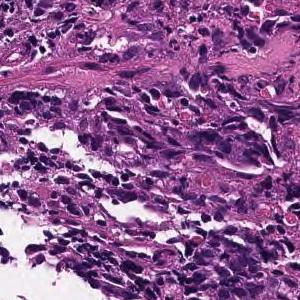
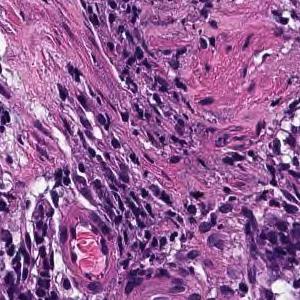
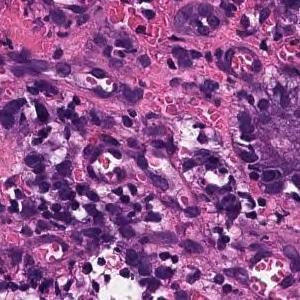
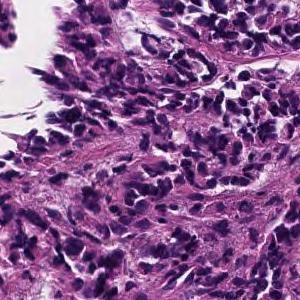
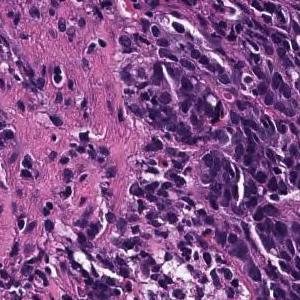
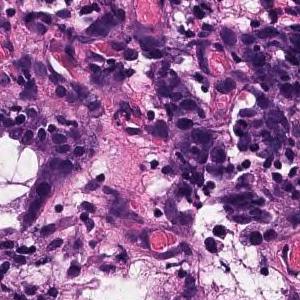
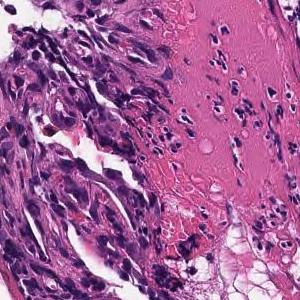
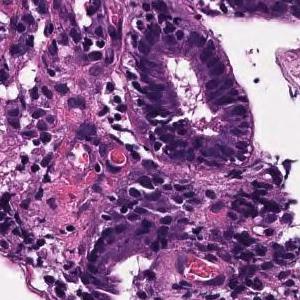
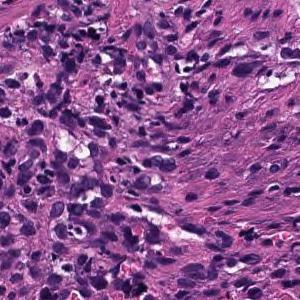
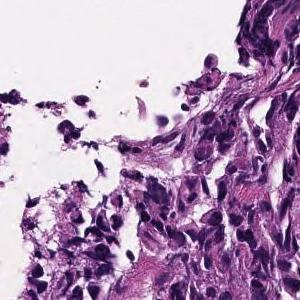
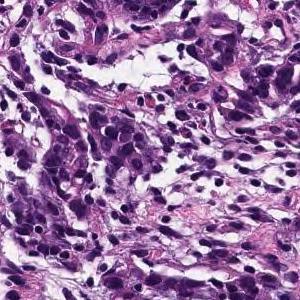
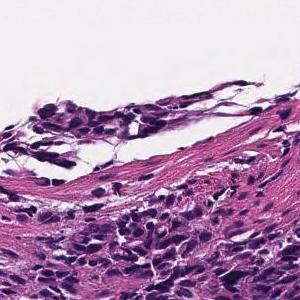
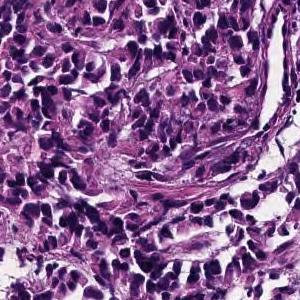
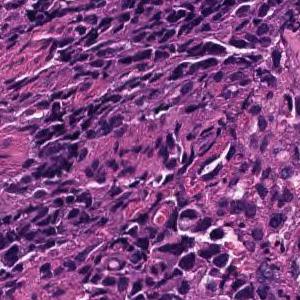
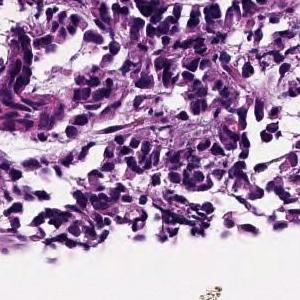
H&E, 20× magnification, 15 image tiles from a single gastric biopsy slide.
The pathologist's report on the biopsy slide these tiles were taken from. The report and the diagnosis cover the entire slide, so not every feature they name need be visible here, and some tissue shown may not be tumor.
Poorly differentiated, solid adenocarcinoma (poorly differentiated adenocarcinoma, solid type) with tumor tissue diffusely infiltrated with atypical epithelial cells
Histologic type: Poorly differentiated adenocarcinoma, solid type. This name comes from the Japanese Classification of Gastric Carcinoma; the WHO 2019 classification calls it tubular adenocarcinoma, poorly differentiated.
